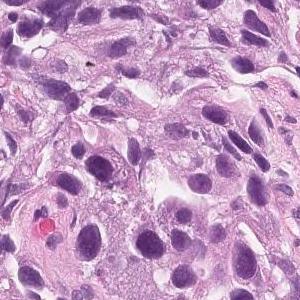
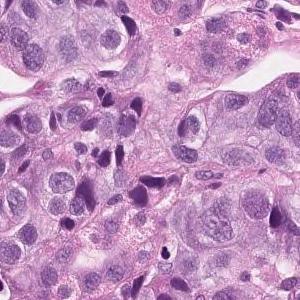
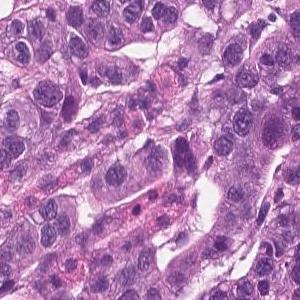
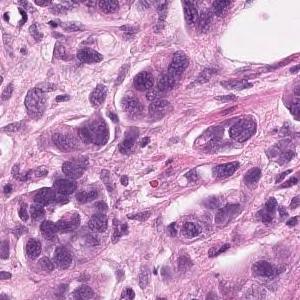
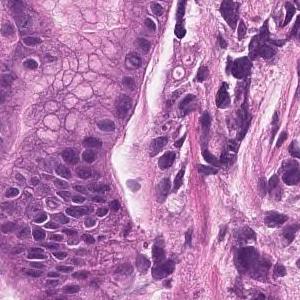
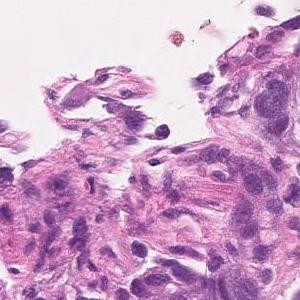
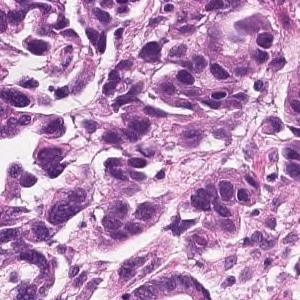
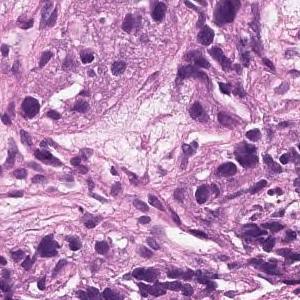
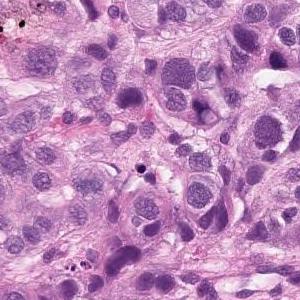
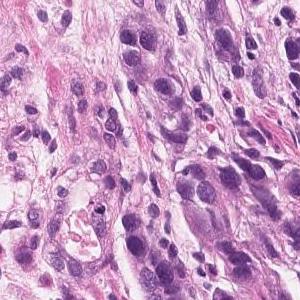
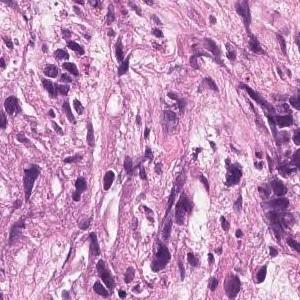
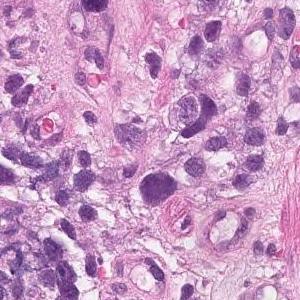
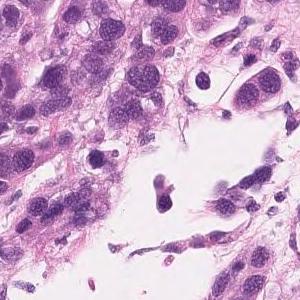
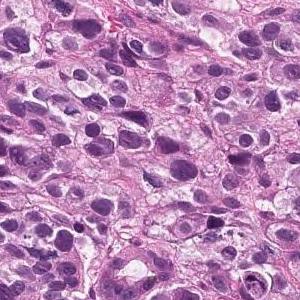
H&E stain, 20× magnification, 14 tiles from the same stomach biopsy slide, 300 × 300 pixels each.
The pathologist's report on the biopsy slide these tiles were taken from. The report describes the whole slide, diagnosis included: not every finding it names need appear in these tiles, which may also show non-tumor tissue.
Tumor tissue that infiltrates the epithelium in an alveolar manner. Poorly differentiated adenocarcinoma, solid-type
Tumor subtype: poorly differentiated adenocarcinoma, solid type (Japanese Classification of Gastric Carcinoma). The WHO 2019 equivalent is tubular adenocarcinoma, poorly differentiated.
